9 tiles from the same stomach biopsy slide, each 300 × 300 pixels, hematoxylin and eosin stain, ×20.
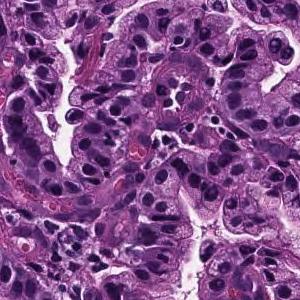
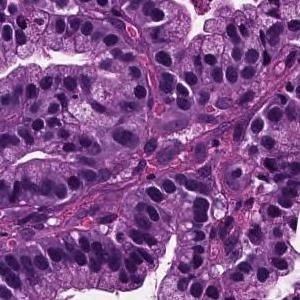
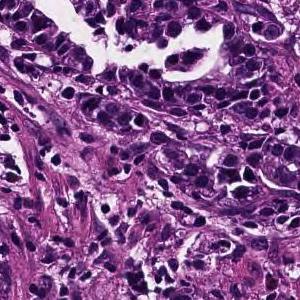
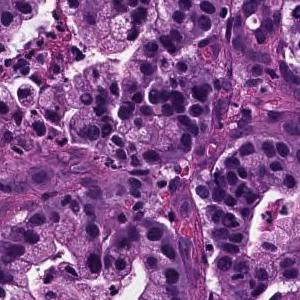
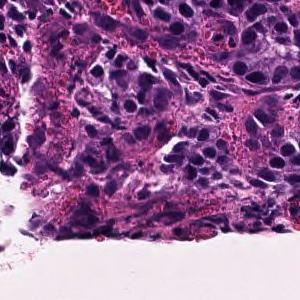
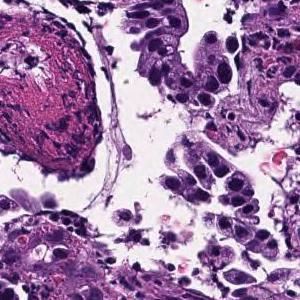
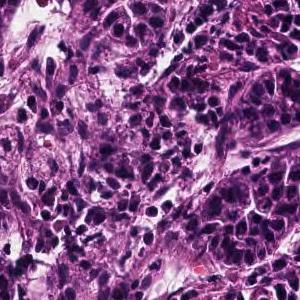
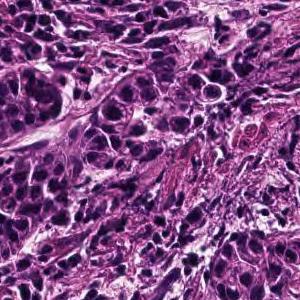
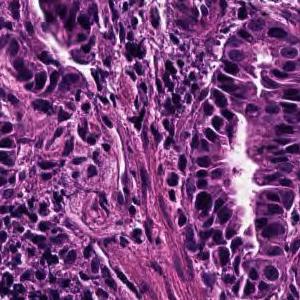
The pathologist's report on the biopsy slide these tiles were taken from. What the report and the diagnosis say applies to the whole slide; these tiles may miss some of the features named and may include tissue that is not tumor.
Tumor cells are large, highly columnar, large club-shaped nuclei, and are associated with chromatin aggregation. Papillary adenocarcinoma.
